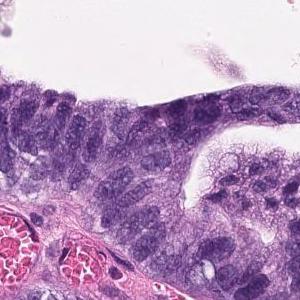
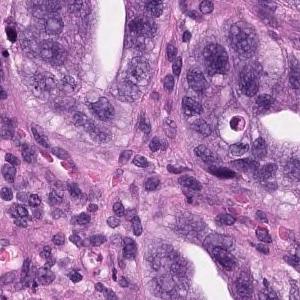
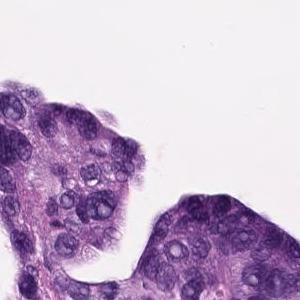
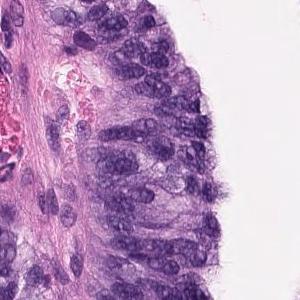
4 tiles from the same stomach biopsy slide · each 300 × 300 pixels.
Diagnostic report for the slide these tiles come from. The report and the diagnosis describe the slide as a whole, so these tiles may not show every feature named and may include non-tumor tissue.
Tumor cells are large, highly columnar, large club-shaped nuclei, and are associated with chromatin aggregation. Papillary adenocarcinoma.
